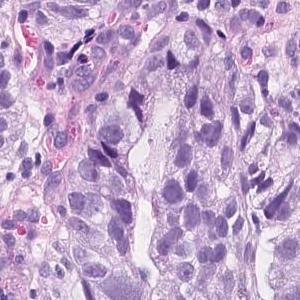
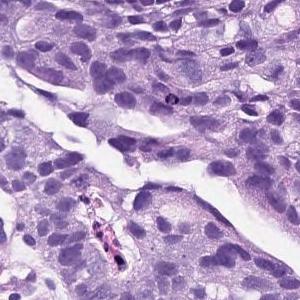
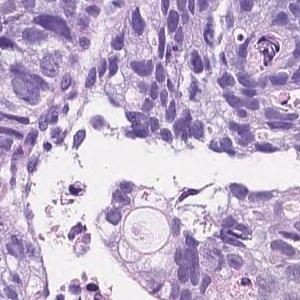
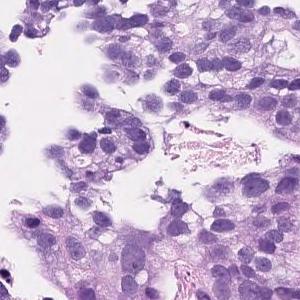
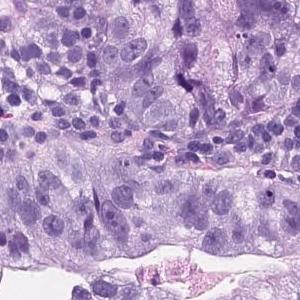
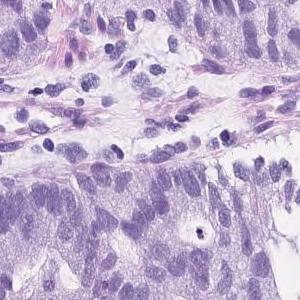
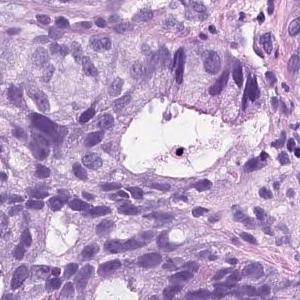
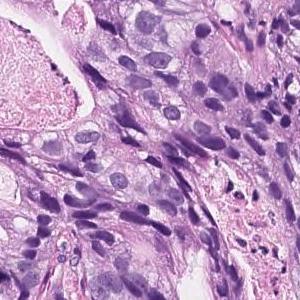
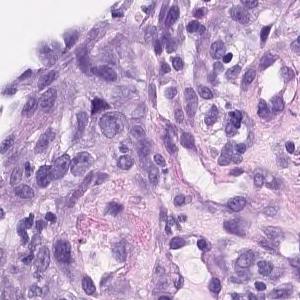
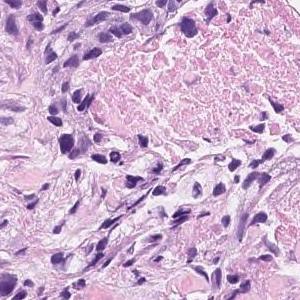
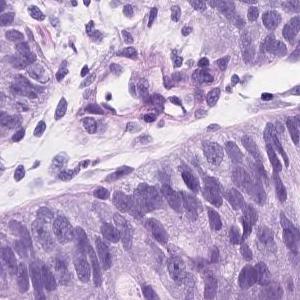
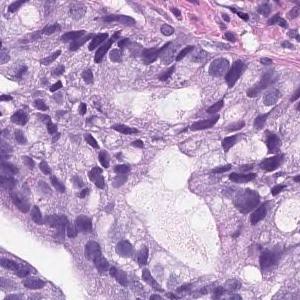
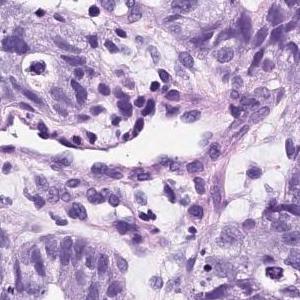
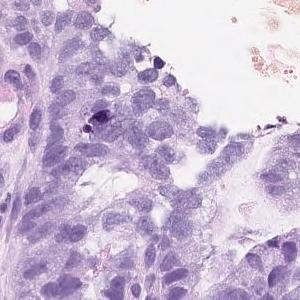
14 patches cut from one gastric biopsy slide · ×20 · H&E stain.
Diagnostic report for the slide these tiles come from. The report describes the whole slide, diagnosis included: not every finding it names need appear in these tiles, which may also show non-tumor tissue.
On the superficial epithelium, tumor tissue consisting of an image of large, irregular glandular ducts partially fused and infiltrated is observed. Well to moderately differentiated tubular adenocarcinoma
